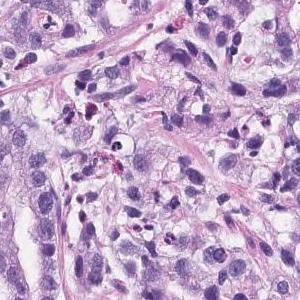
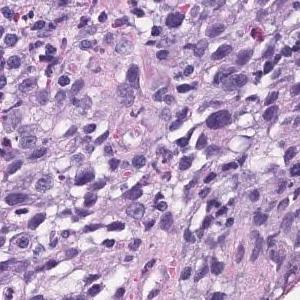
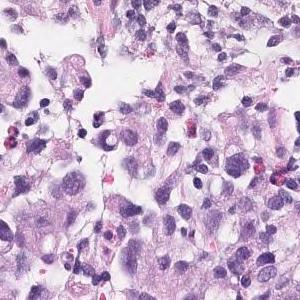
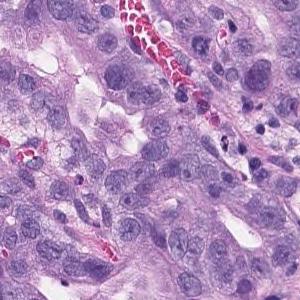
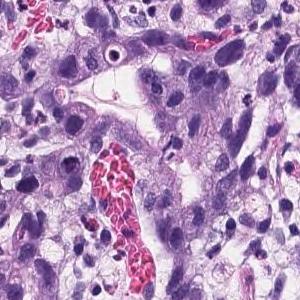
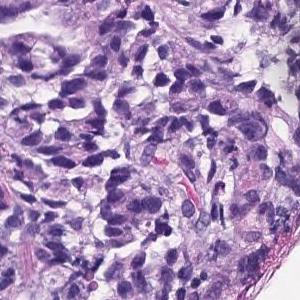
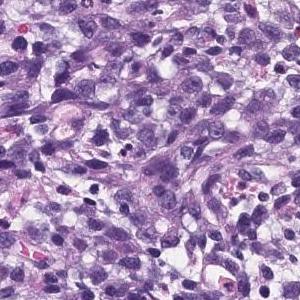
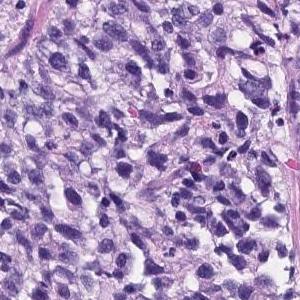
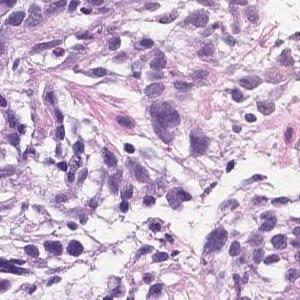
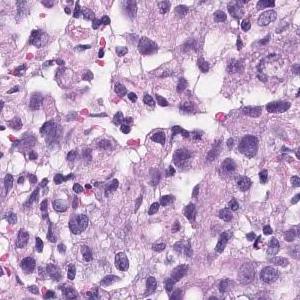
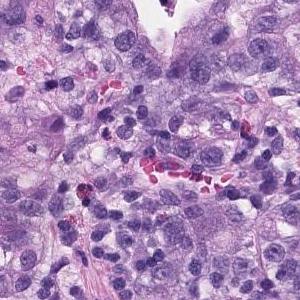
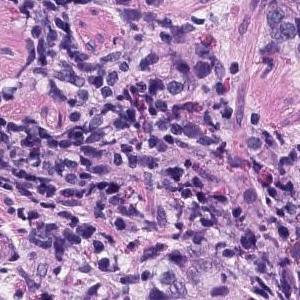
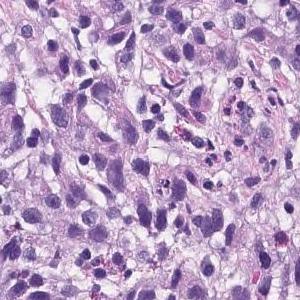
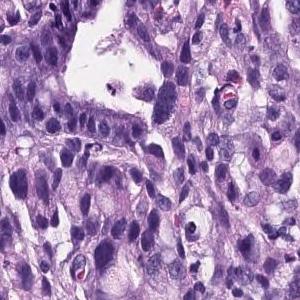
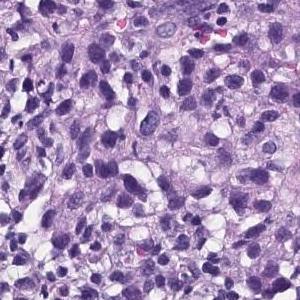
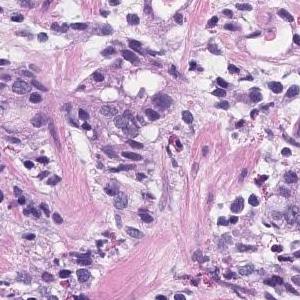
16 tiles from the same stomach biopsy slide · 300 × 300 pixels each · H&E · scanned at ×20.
Pathology report for the biopsy slide these tiles were cut from. The report and the diagnosis cover the entire slide, so not every feature they name need be visible here, and some tissue shown may not be tumor.
There are atypical l cells with atypical nuclei forming cord-like or irregular atypical ducts from solidity and proliferating in a comprehensive manner. Poorly differentiated adenocarcinoma, Moderately differentiated adenocarcinoma (poorly differentiated adenocarcinoma, solid type moderately differentiated tubular adenocarcinoma)
Histologic type: Moderately to poorly differentiated adenocarcinoma.
"Solid type" is a category of the Japanese Classification of Gastric Carcinoma; in the WHO 2019 classification it is tubular adenocarcinoma, poorly differentiated.
